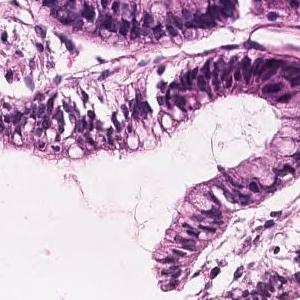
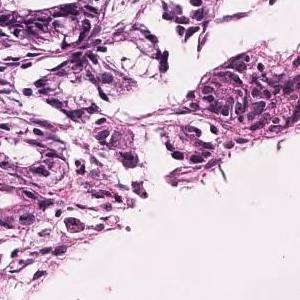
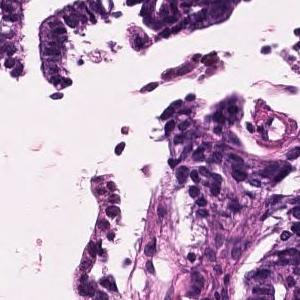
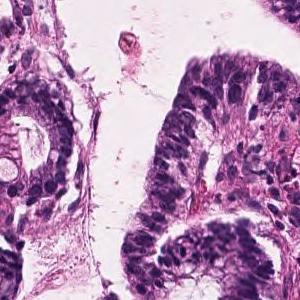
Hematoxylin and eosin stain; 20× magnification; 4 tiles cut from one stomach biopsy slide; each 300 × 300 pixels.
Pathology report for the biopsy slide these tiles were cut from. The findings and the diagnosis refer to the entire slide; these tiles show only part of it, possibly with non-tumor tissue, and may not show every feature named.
Cubic to columnar atypical epithelial cells proliferating showing papillary to papillary ductal structures is observed. Papillary adenocarcinoma.
